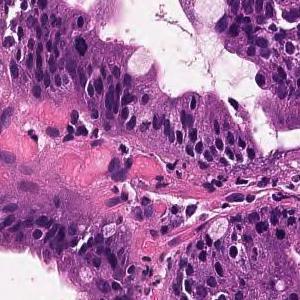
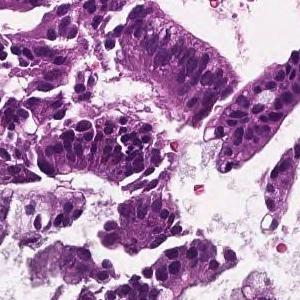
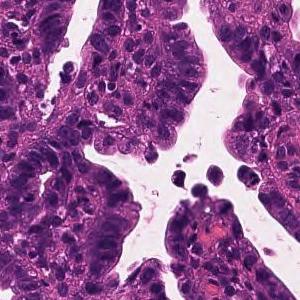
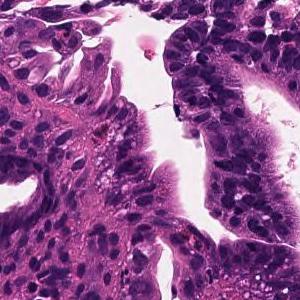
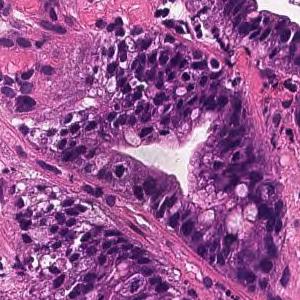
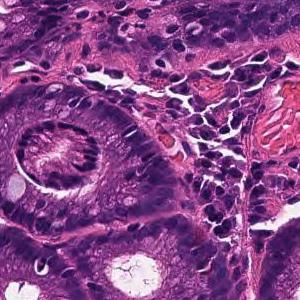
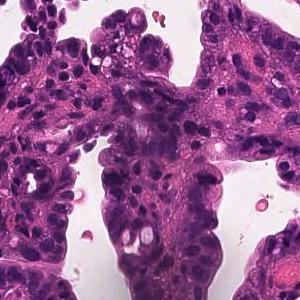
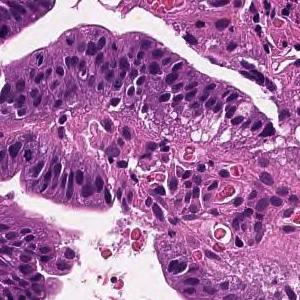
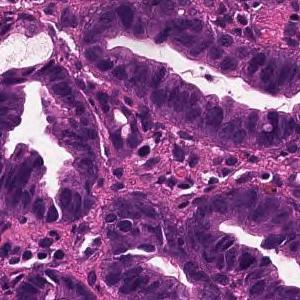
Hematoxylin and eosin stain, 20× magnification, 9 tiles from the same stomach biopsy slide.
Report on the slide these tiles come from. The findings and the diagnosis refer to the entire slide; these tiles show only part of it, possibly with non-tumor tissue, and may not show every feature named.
On the superficial epithelium, tumor tissue that infiltrates by forming medium-sized papillary or small irregular ducts is observed. Papillary adenocarcinoma
